H&E stain; 15 tiles from the same stomach biopsy slide; 300×300 px each.
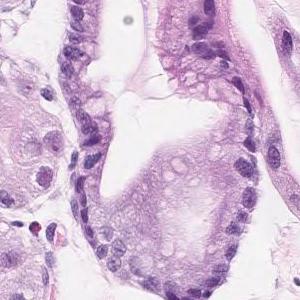
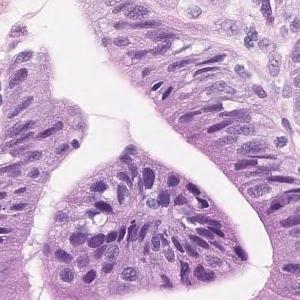
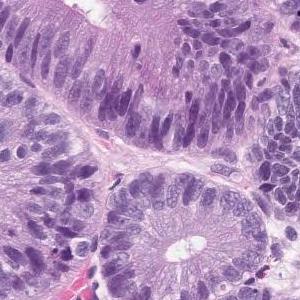
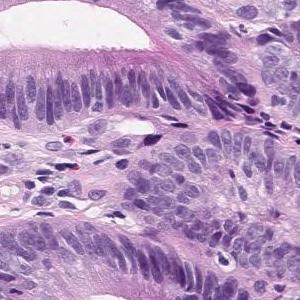
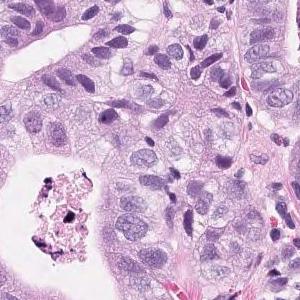
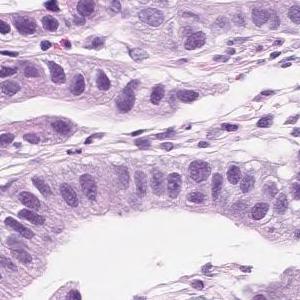
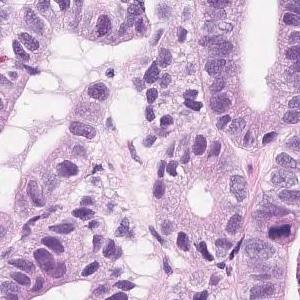
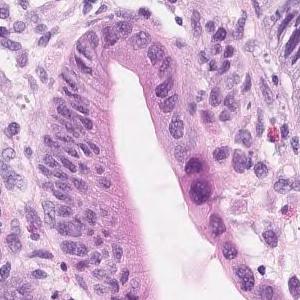
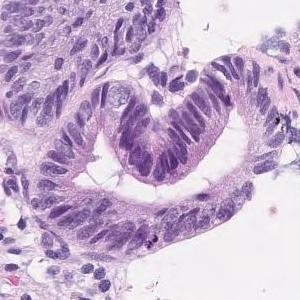
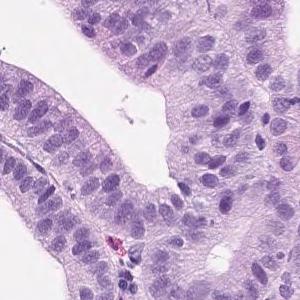
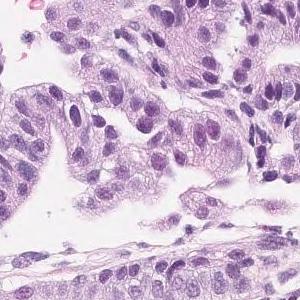
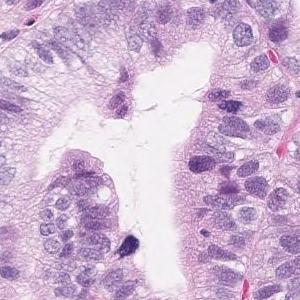
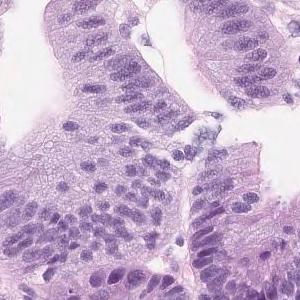
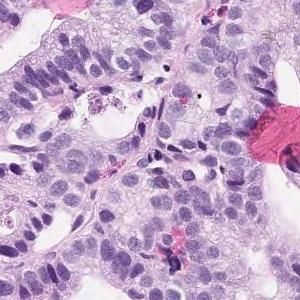
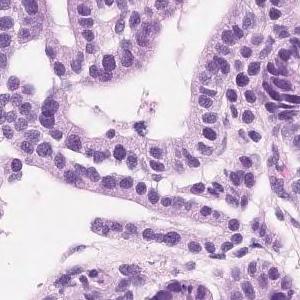
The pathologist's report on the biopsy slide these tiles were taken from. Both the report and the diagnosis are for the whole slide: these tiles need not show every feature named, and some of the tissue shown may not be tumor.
Short atypical epithelium with swelling of the nucleus shows proliferating, large and small irregular ductal structures. Well to moderately differentiated tubular adenocarcinoma (well differentiated tubular adenocarcinoma-moderately differentiated tubular adenocarcinoma)
Histological subtype: Well to moderately differentiated tubular adenocarcinoma.
